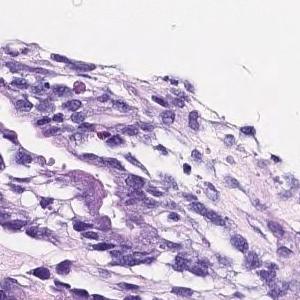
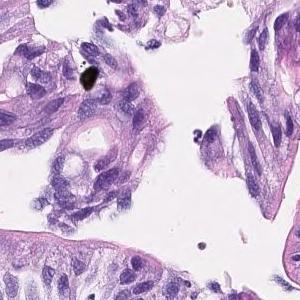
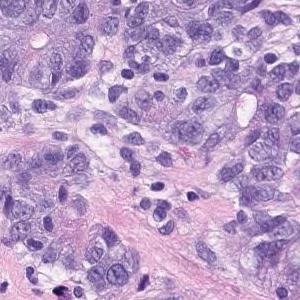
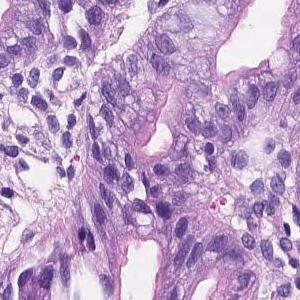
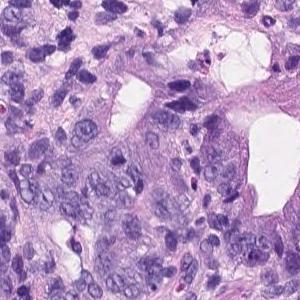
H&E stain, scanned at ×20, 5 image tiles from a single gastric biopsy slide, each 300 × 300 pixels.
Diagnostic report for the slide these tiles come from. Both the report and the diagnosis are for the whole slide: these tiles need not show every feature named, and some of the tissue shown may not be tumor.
Irregularly fused atypical ducts proliferating while replacing existing ducts was observed. moderately differentiated tubular adenocarcinoma
